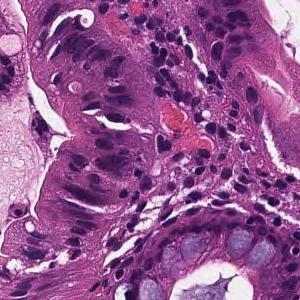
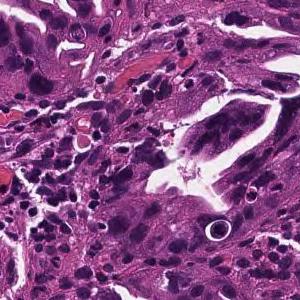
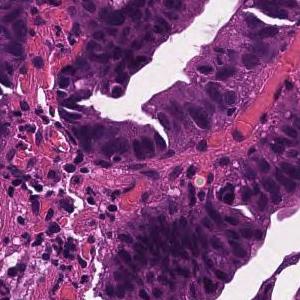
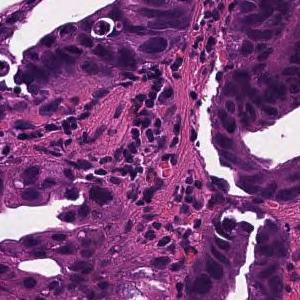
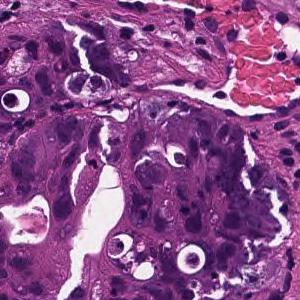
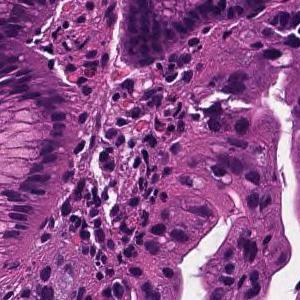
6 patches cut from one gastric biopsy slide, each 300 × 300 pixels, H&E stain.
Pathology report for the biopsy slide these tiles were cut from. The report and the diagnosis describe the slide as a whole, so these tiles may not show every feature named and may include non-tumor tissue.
From the superficial epithelium to the muscularis mucosae, tumor tissue consisting of medium-sized and irregular glandular ducts infiltrating is observed. Well differentiated tubular adenocarcinoma
